20× magnification; H&E; 16 image tiles from a single gastric biopsy slide; each 300 × 300 pixels.
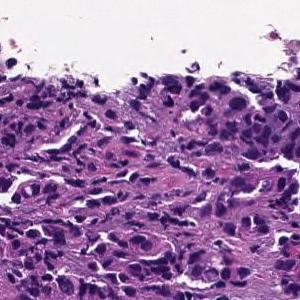
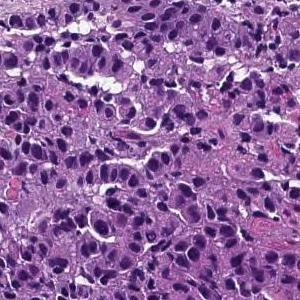
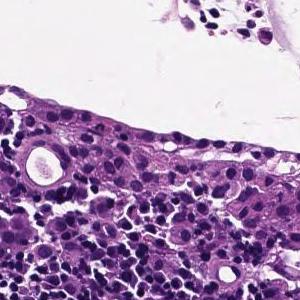
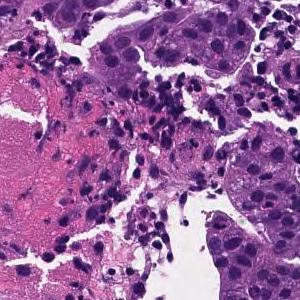
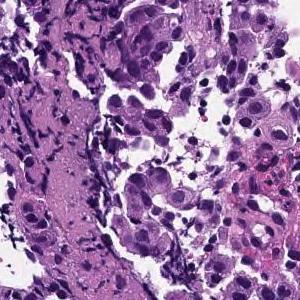
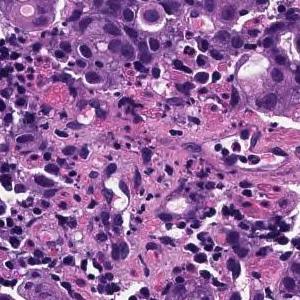
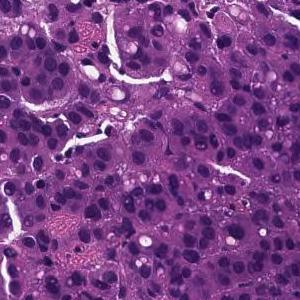
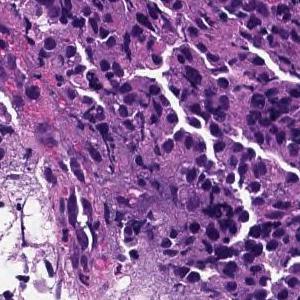
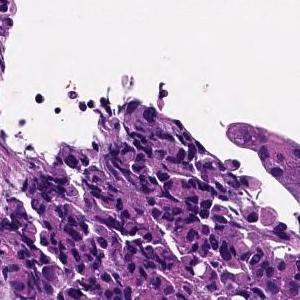
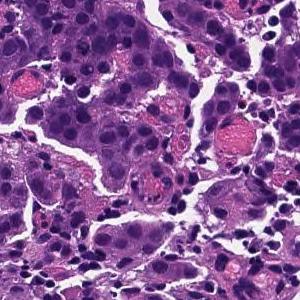
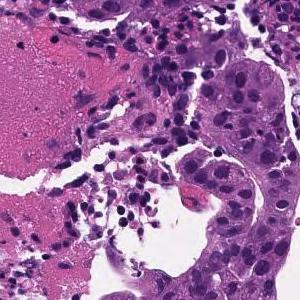
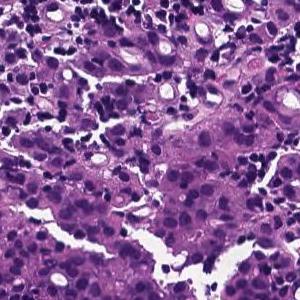
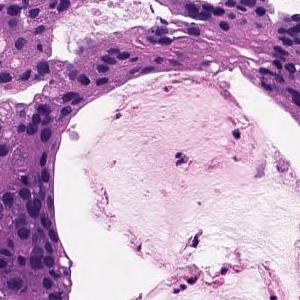
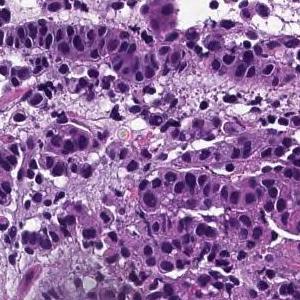
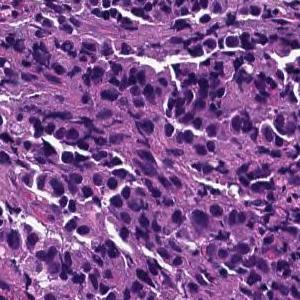
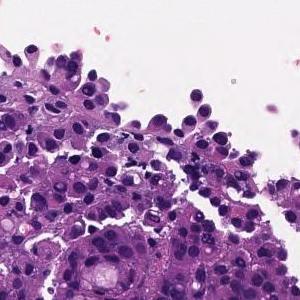
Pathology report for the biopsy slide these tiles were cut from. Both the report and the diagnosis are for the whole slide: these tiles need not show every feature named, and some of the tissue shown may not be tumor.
The superficial epithelium shows a large sheet-like shape, and some tumor tissue infiltrates with small irregular ducts. Poorly differentiated adenocarcinoma, solid-type
Subtype: Poorly differentiated adenocarcinoma, solid type (Japanese Classification of Gastric Carcinoma). The WHO 2019 equivalent is tubular adenocarcinoma, poorly differentiated.
